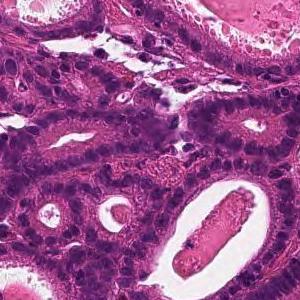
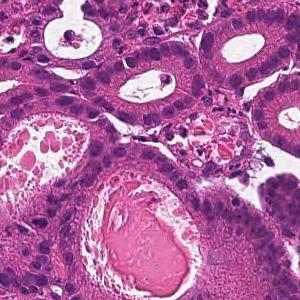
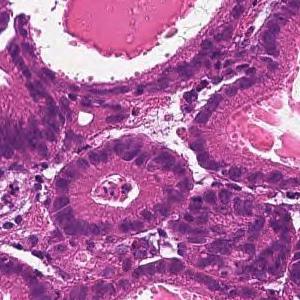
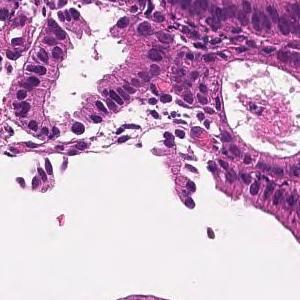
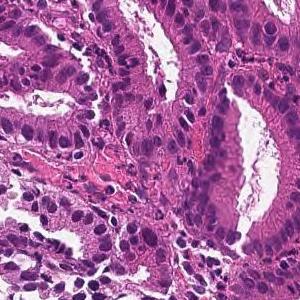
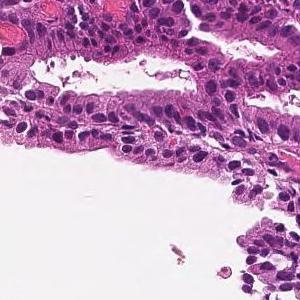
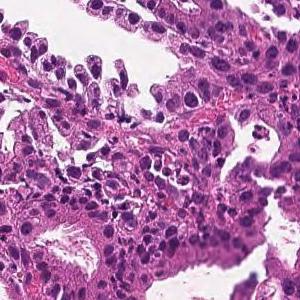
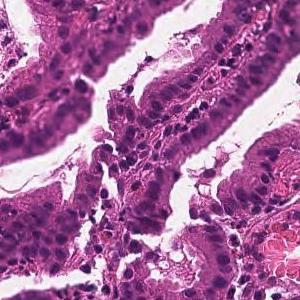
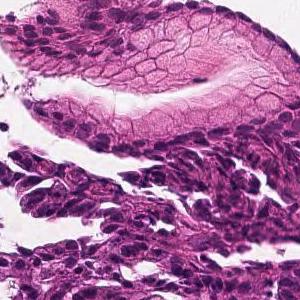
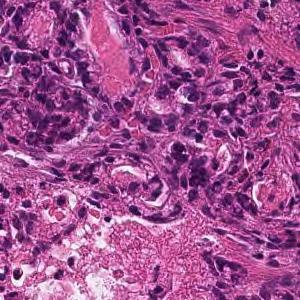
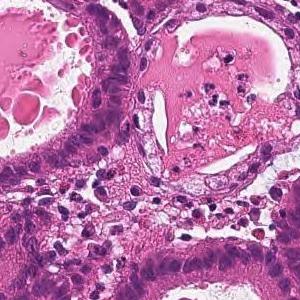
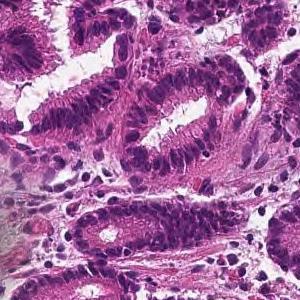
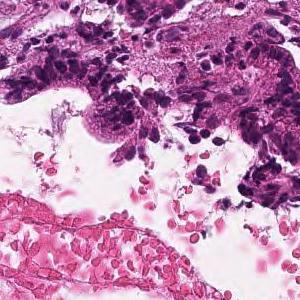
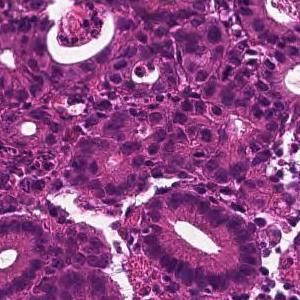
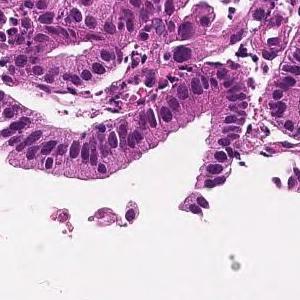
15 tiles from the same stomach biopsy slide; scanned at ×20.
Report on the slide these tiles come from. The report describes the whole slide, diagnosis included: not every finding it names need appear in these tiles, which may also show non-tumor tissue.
From the superficial epithelium to the muscularis mucosae, tumor tissue consisting of medium-sized and irregular glandular ducts infiltrating is observed. Well differentiated tubular adenocarcinoma
